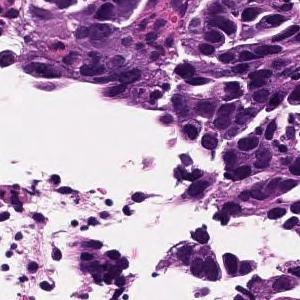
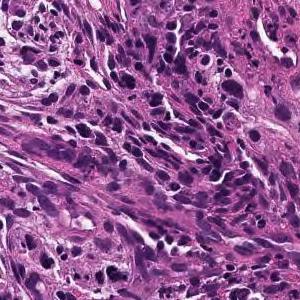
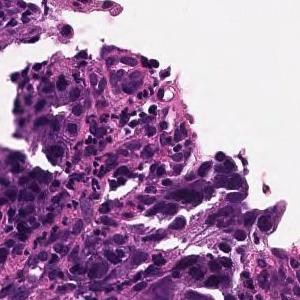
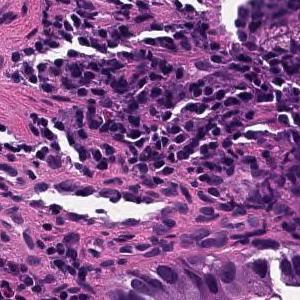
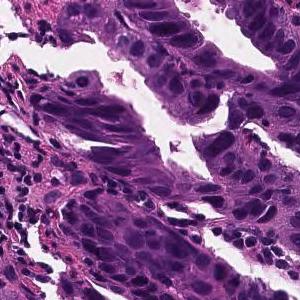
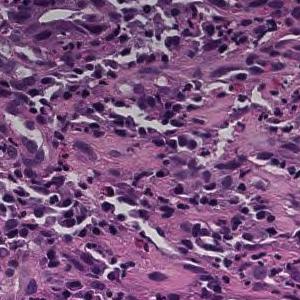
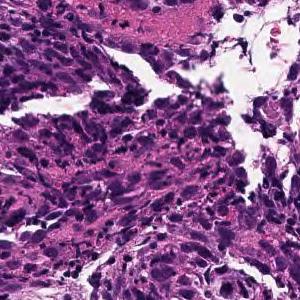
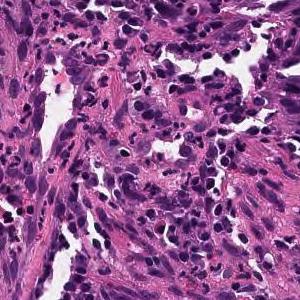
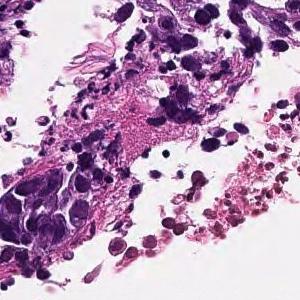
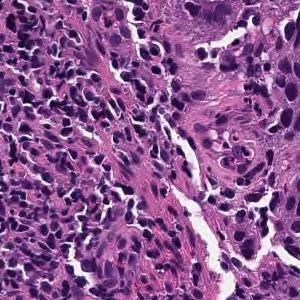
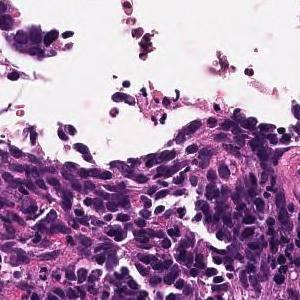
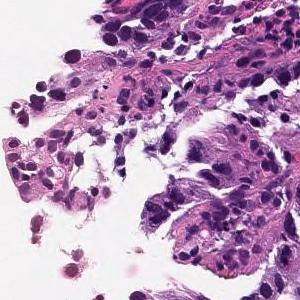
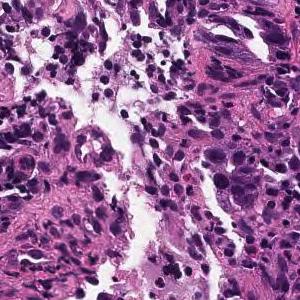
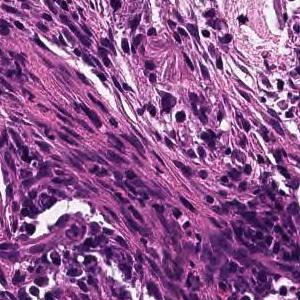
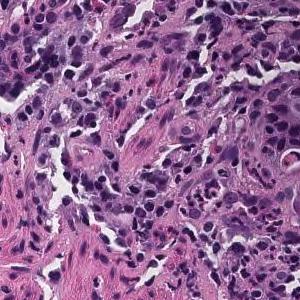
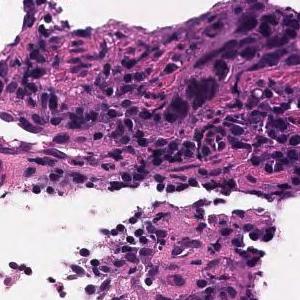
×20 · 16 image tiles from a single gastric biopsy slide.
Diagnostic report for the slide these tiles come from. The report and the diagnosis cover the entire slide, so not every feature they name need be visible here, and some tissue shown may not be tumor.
On the superficial epithelium, tumor tissue consisting of large irregular glandular ducts partially fused and infiltrated is observed. Well to moderately differentiated tubular adenocarcinoma (well differentiated tubular adenocarcinoma, moderately differentiated tubular adenocarcinoma)
Subtype: Well to moderately differentiated tubular adenocarcinoma.
